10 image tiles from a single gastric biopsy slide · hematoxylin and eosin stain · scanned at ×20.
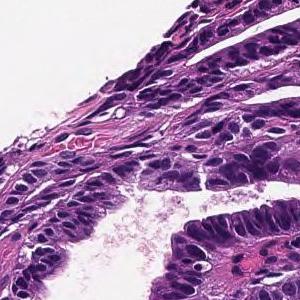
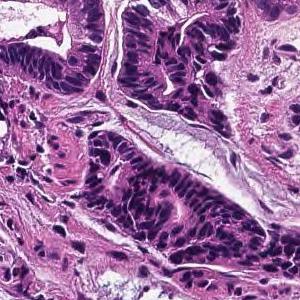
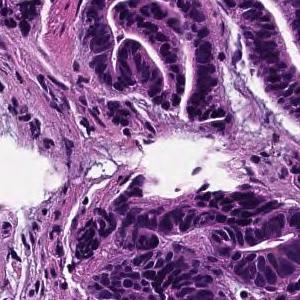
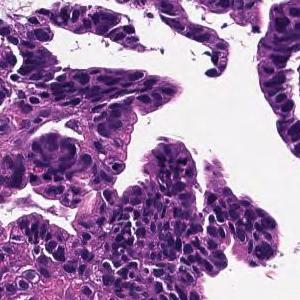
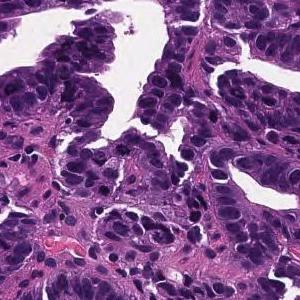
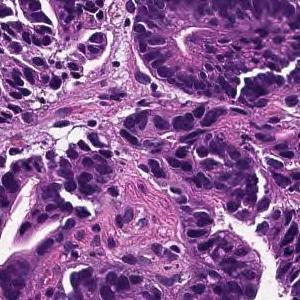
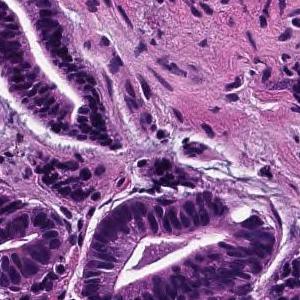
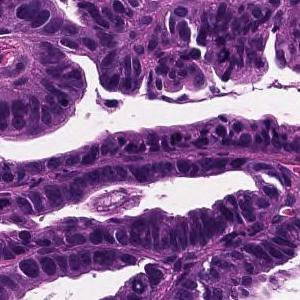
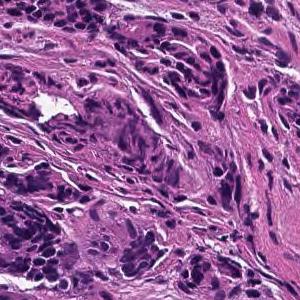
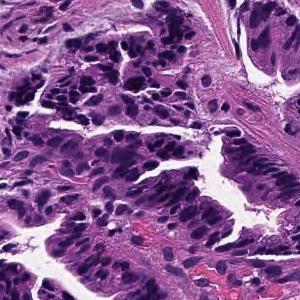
Diagnostic report for the slide these tiles come from. What the report and the diagnosis say applies to the whole slide; these tiles may miss some of the features named and may include tissue that is not tumor.
Tumor tissue consisting of large papillary structures is found in the superficial epithelium. Papillary adenocarcinoma.
